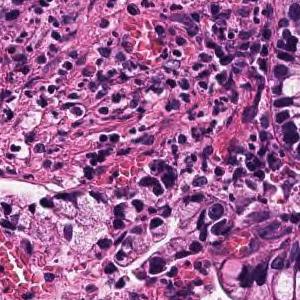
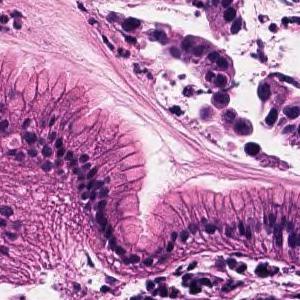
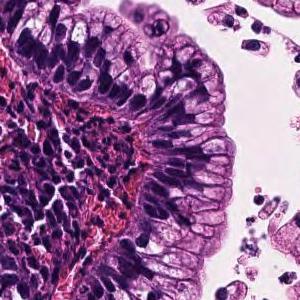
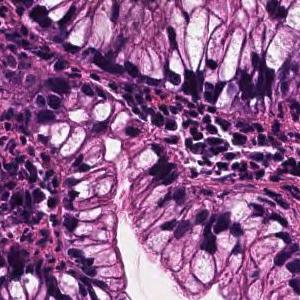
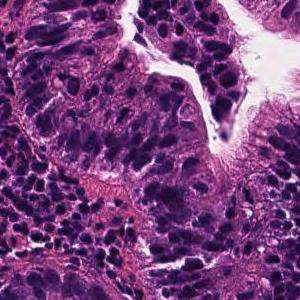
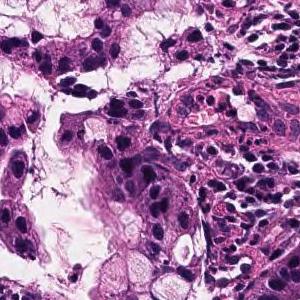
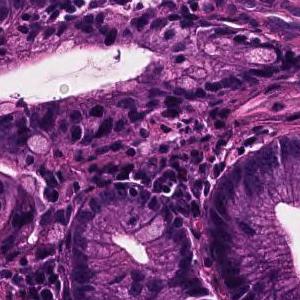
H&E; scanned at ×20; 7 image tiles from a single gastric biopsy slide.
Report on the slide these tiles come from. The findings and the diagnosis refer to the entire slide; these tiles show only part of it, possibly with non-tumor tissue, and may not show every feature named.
Tumor cells are large, highly columnar, large club-shaped nuclei, and are associated with chromatin aggregation. Papillary adenocarcinoma.
